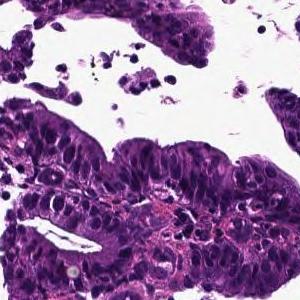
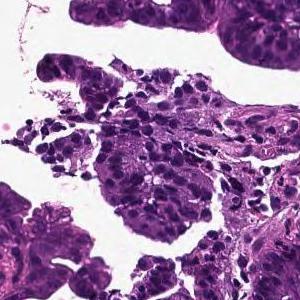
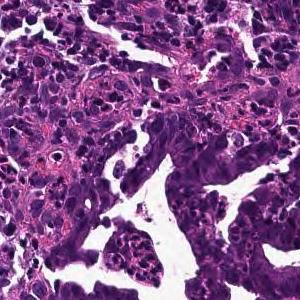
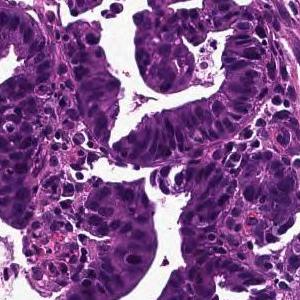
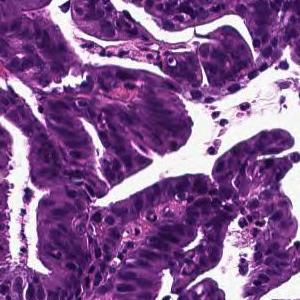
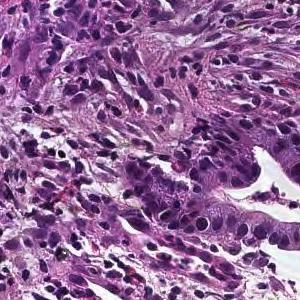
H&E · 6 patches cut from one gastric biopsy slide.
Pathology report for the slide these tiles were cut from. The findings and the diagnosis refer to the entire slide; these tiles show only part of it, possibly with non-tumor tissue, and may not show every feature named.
Tumor cells are large, highly columnar, large club-shaped nuclei, and are associated with chromatin aggregation. Papillary adenocarcinoma.
